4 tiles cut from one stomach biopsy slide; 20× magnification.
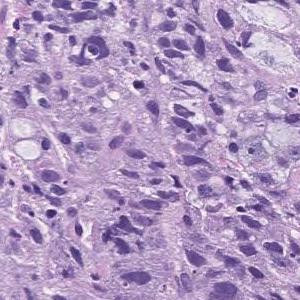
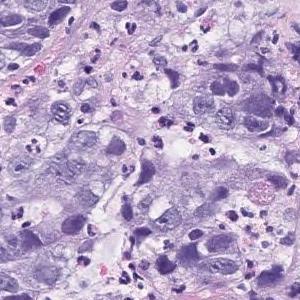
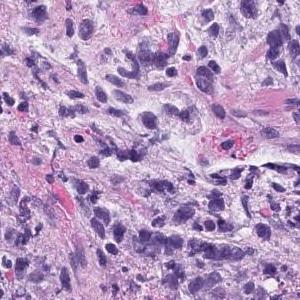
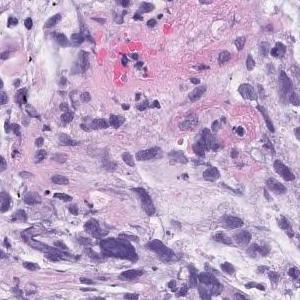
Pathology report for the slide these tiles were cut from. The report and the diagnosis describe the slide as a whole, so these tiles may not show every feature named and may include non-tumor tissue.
Atypical l cells with atypical nuclei forming solid vesicles or small irregular atypical ducts that proliferate in a complex manner. poorly differentiated adenocarcinoma, solid type, moderately differentiated tubular adenocarcinoma
The solid type named here is a Japanese Classification of Gastric Carcinoma category; WHO 2019 calls it tubular adenocarcinoma, poorly differentiated.
